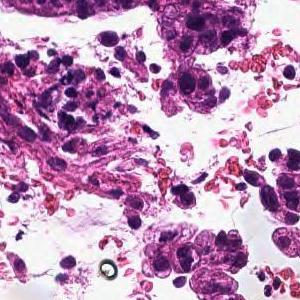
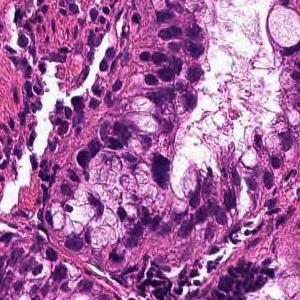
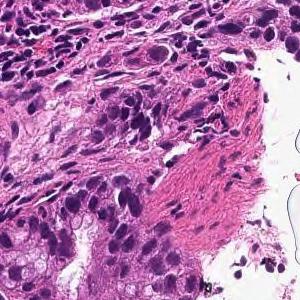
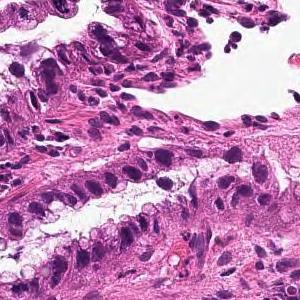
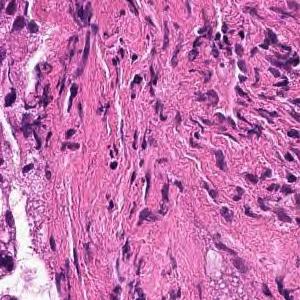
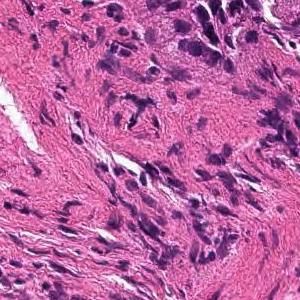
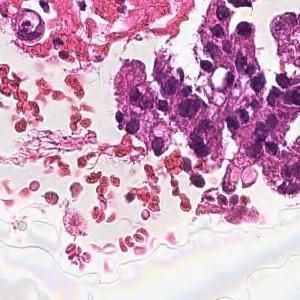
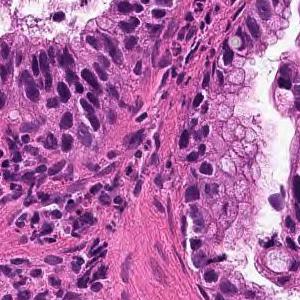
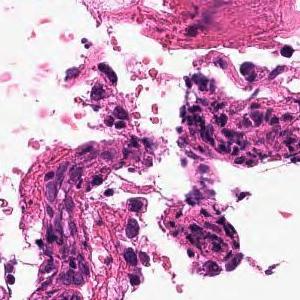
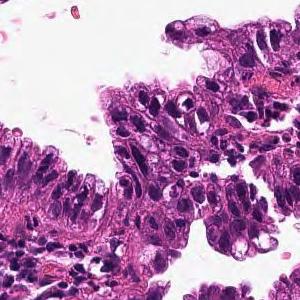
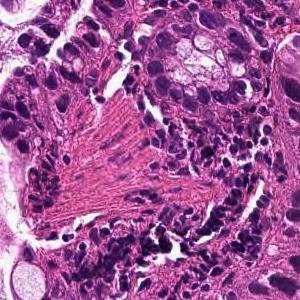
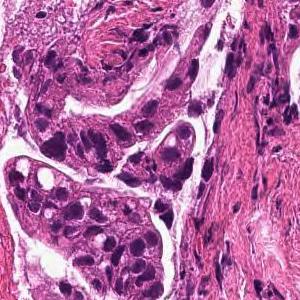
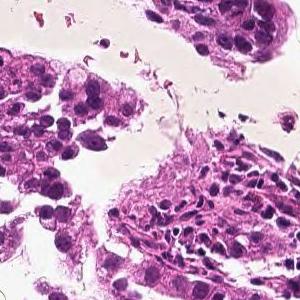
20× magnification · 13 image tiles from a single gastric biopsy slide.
Report on the slide these tiles come from. The report and the diagnosis cover the entire slide, so not every feature they name need be visible here, and some tissue shown may not be tumor.
From the superficial epithelium to the muscularis mucosae, tumor tissue infiltrating by forming medium-sized irregular gland ducts is observed. Well differentiated tubular adenocarcinoma
